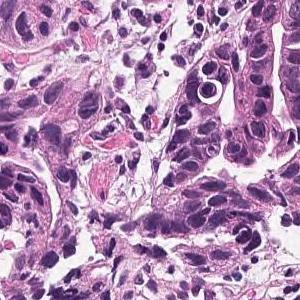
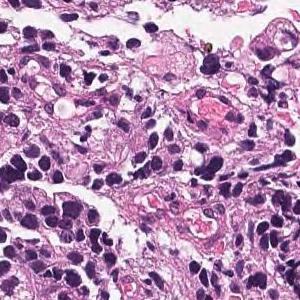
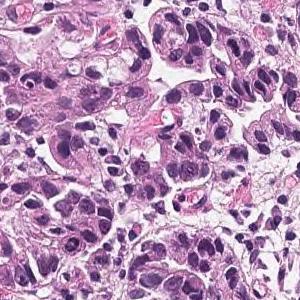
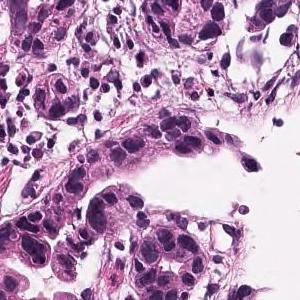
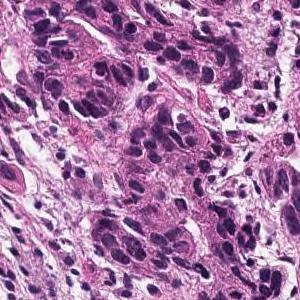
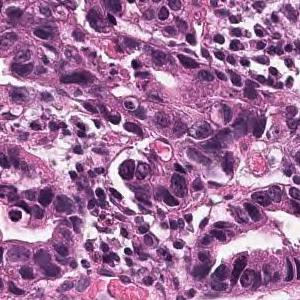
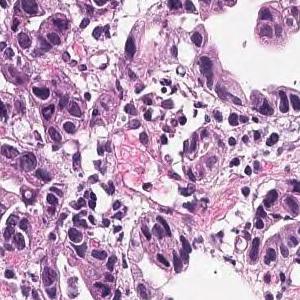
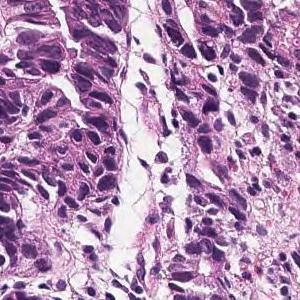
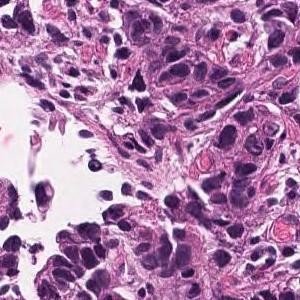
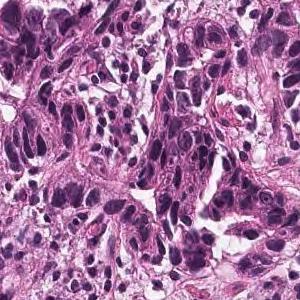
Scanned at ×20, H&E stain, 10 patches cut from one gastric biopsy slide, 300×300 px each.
Pathology report for the biopsy slide these tiles were cut from. The report and the diagnosis describe the slide as a whole, so these tiles may not show every feature named and may include non-tumor tissue.
Medium to small, irregular glandular ducts are formed in the superficial epithelium, and in some cases, the glandular ducts are fused to show solid alveolar lesions and infiltrating tumor tissue is observed. Moderately to poorly differentiated adenocarcinoma.
